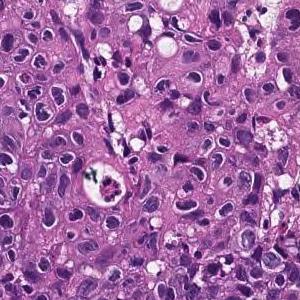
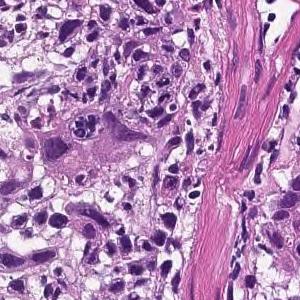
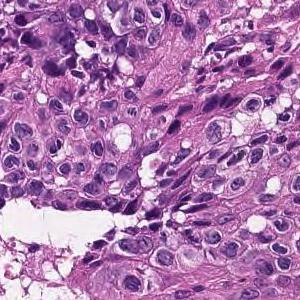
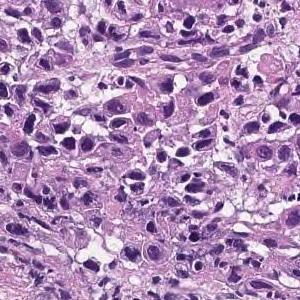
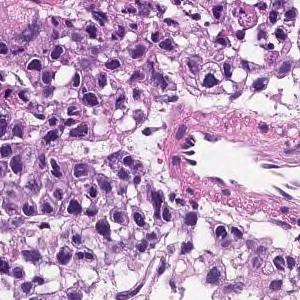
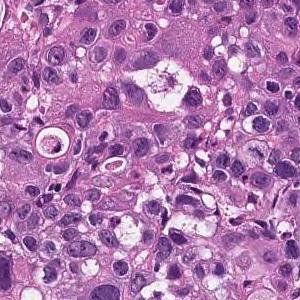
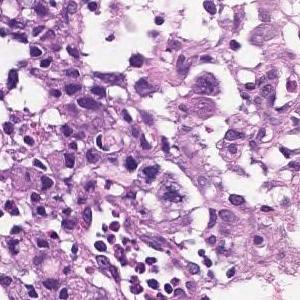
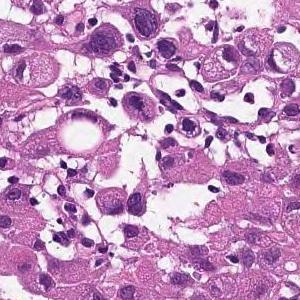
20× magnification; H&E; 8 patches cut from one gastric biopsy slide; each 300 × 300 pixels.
Report on the slide these tiles come from. The report and the diagnosis describe the slide as a whole, so these tiles may not show every feature named and may include non-tumor tissue.
The superficial epithelium shows a large sheet-like shape, and some tumor tissue infiltrates with small irregular ducts. Poorly differentiated adenocarcinoma, solid-type
Classified as poorly differentiated adenocarcinoma, solid type. This name comes from the Japanese Classification of Gastric Carcinoma; the WHO 2019 classification calls it tubular adenocarcinoma, poorly differentiated.
